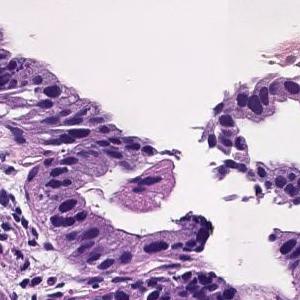
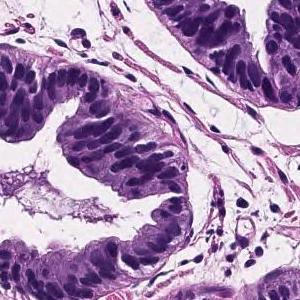
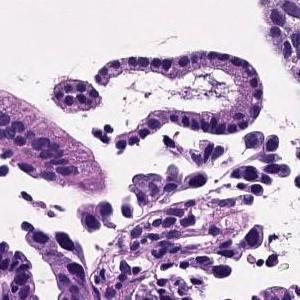
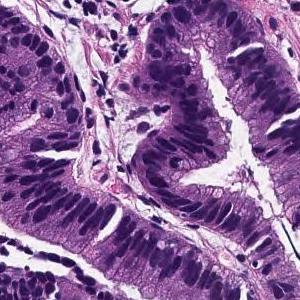
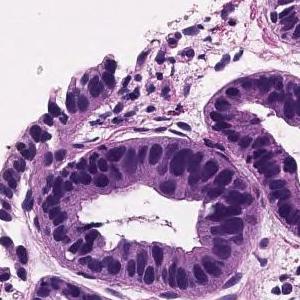
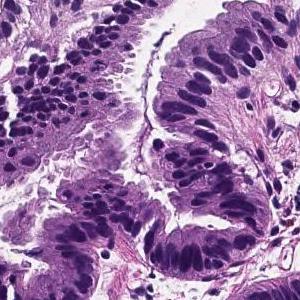
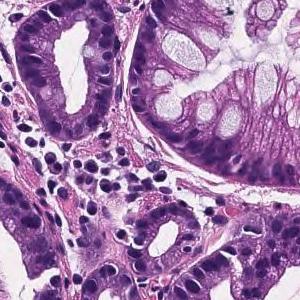
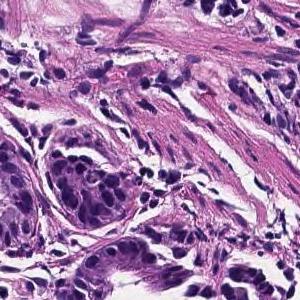
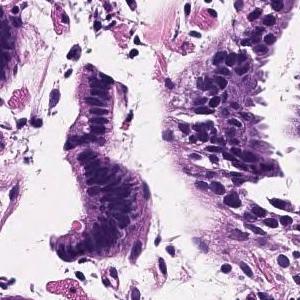
9 image tiles from a single gastric biopsy slide · hematoxylin and eosin stain.
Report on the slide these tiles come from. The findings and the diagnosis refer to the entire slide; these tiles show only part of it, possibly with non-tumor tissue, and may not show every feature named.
Tumor cells are large, highly columnar, large club-shaped nuclei, and are associated with chromatin aggregation. Papillary adenocarcinoma.
